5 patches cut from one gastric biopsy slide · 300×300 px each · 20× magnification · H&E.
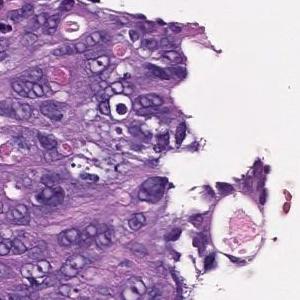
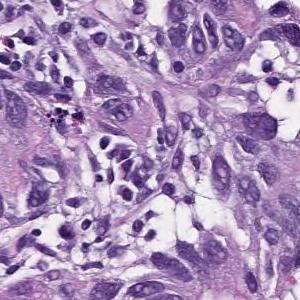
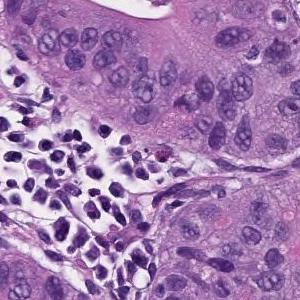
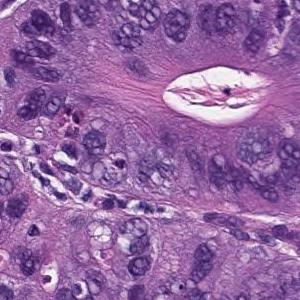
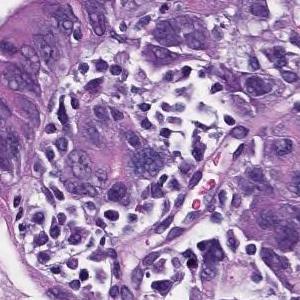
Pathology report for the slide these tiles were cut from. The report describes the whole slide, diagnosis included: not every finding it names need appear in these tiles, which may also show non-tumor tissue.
In the superficial epithelium, tumor tissue that invades by forming medium-sized to small, irregular ducts is observed. moderately differentiated tubular adenocarcinoma.
